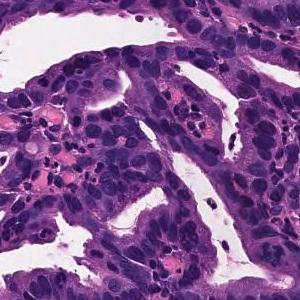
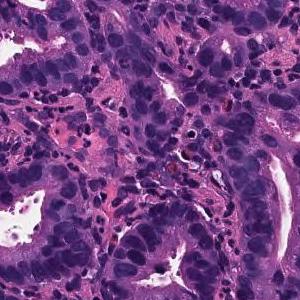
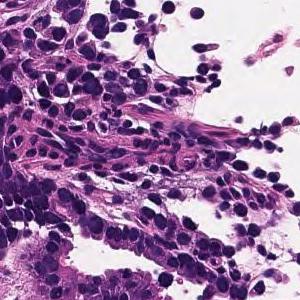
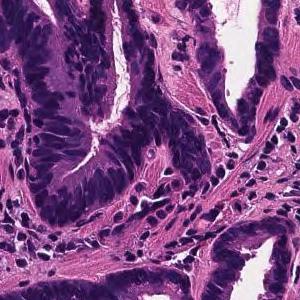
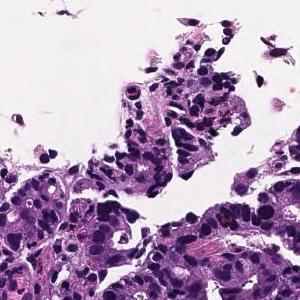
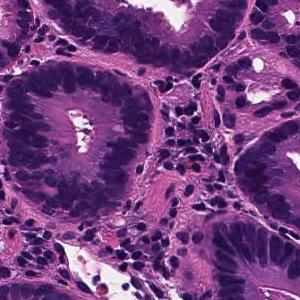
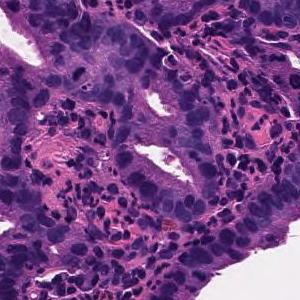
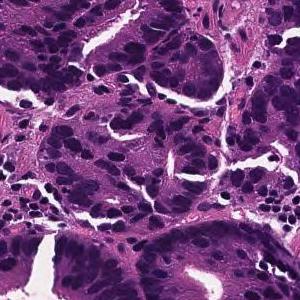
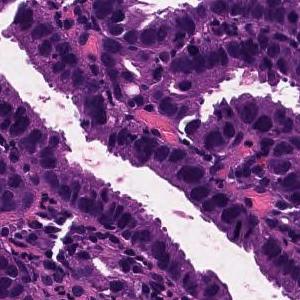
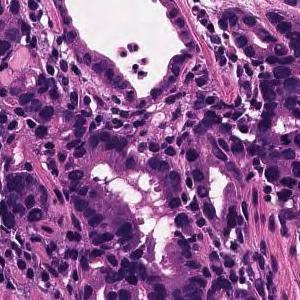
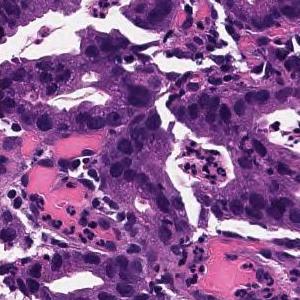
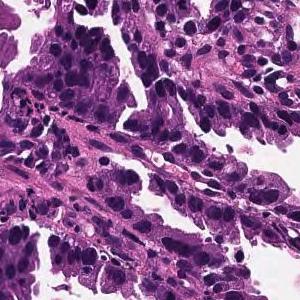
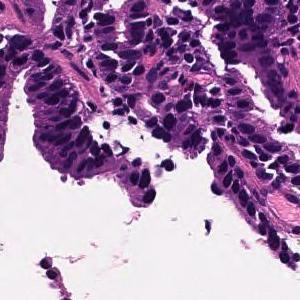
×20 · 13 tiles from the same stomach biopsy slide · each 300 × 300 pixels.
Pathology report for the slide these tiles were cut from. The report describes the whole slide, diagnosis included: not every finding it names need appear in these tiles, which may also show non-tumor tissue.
On the superficial epithelium, tumor tissue is found in which medium-sized irregular gland ducts fuse with each other and infiltrate. moderately differentiated tubular adenocarcinoma
